7 tiles from the same stomach biopsy slide · 300 × 300 pixels each · ×20.
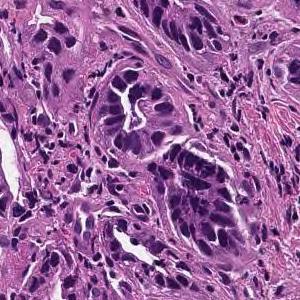
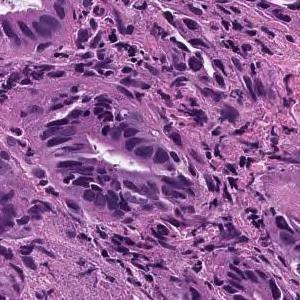
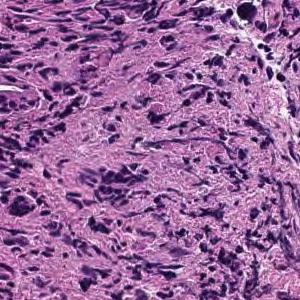
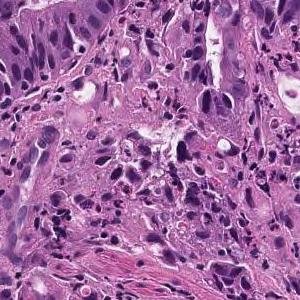
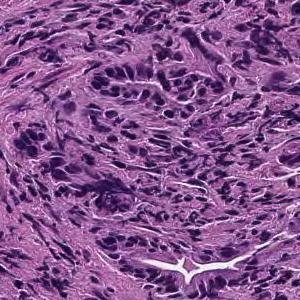
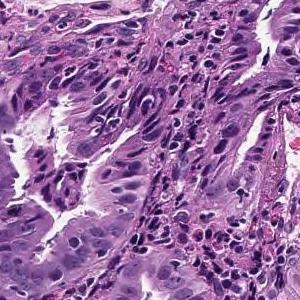
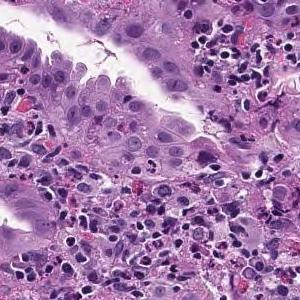
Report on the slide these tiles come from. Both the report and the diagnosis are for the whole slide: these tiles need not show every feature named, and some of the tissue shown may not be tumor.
On the superficial epithelium, tumor tissue consisting of large, irregular glandular ducts partially fused and infiltrated is observed. Well to moderately differentiated tubular adenocarcinoma (well differentiated tubular adenocarcinoma, moderately differentiated tubular adenocarcinoma)
Tumor subtype: well to moderately differentiated tubular adenocarcinoma.
